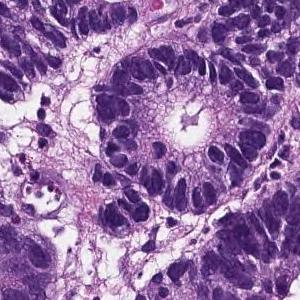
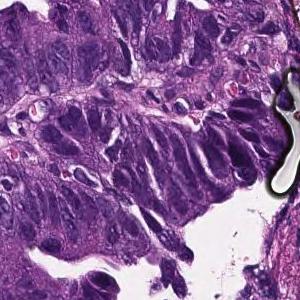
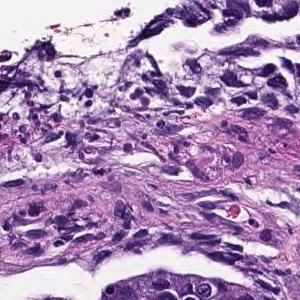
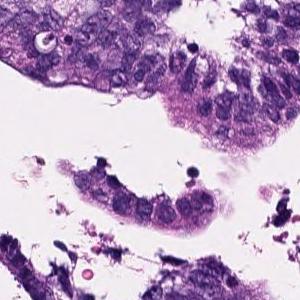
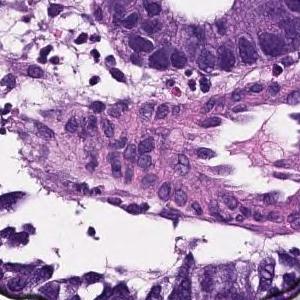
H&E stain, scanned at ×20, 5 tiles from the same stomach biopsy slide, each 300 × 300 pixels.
Report on the slide these tiles come from. Both the report and the diagnosis are for the whole slide: these tiles need not show every feature named, and some of the tissue shown may not be tumor.
In the superficial epithelium, tumor tissue that invades by forming medium-sized to small, irregular ducts is observed. moderately differentiated tubular adenocarcinoma.
